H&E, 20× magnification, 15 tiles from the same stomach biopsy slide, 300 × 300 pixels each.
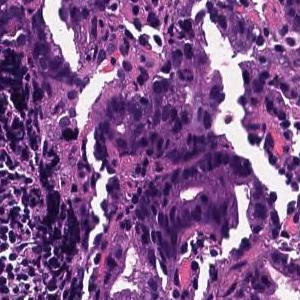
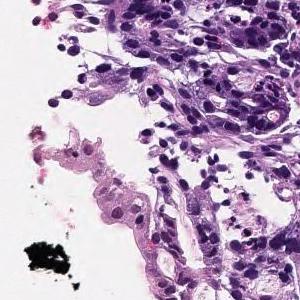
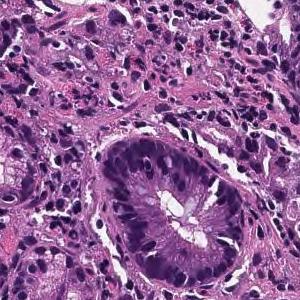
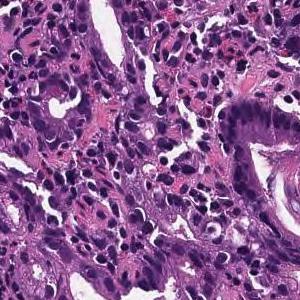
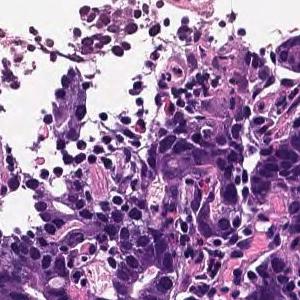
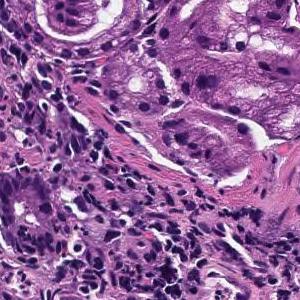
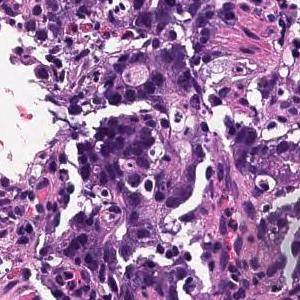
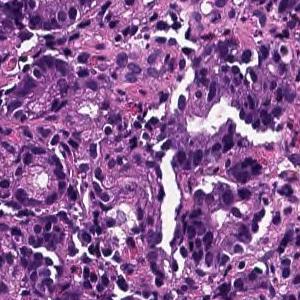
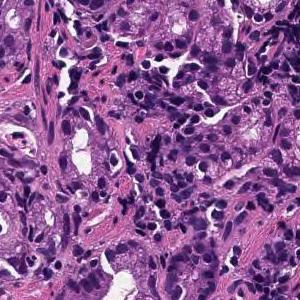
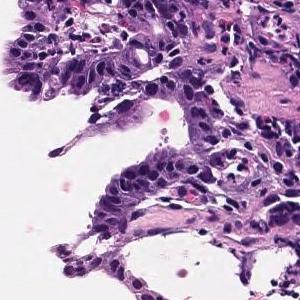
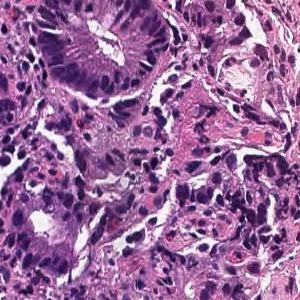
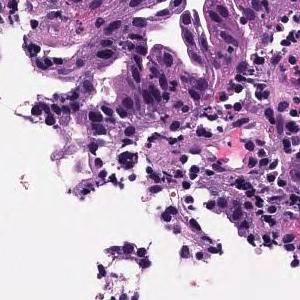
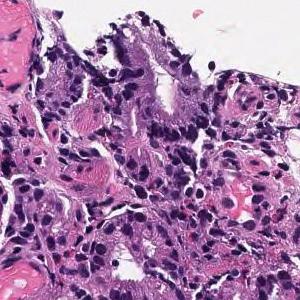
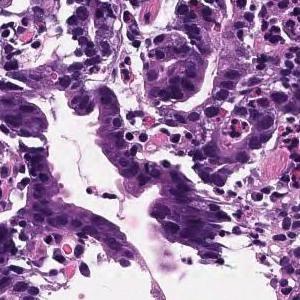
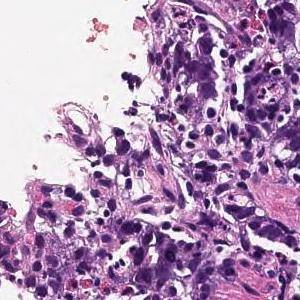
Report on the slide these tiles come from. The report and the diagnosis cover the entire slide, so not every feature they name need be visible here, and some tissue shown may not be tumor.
In the superficial epithelium, tumor tissue that invades by forming medium-sized to small, irregular ducts is observed. moderately differentiated tubular adenocarcinoma.
